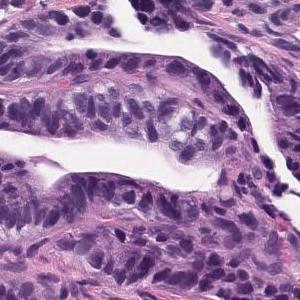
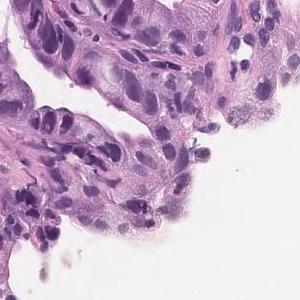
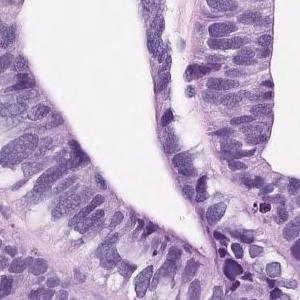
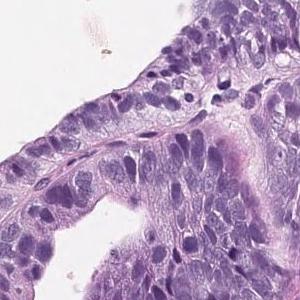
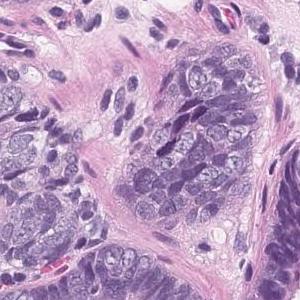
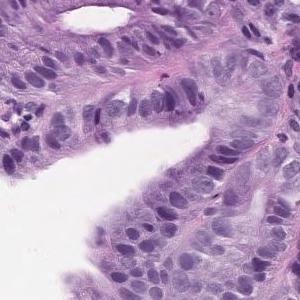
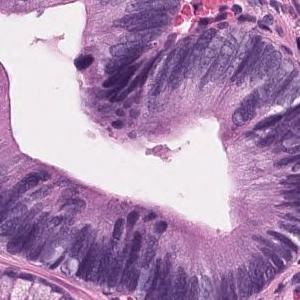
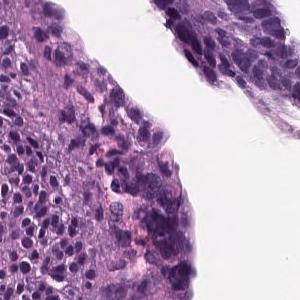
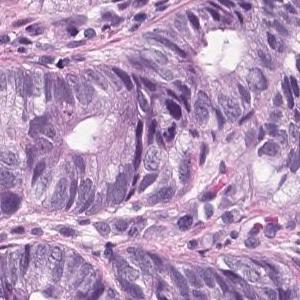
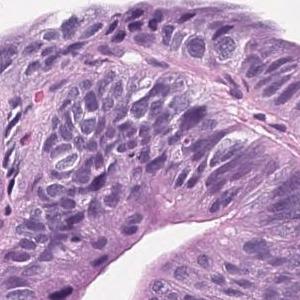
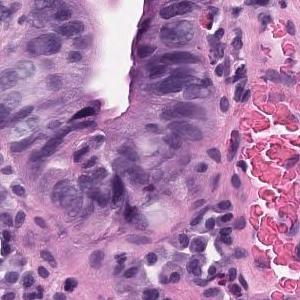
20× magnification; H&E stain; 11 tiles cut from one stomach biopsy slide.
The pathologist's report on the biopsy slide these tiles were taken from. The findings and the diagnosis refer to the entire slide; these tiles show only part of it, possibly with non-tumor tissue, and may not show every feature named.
Tumor tissue consisting of medium-sized and irregular ducts is observed infiltrating in the superficial epithelium. Tumor cells are highly columnar, with nuclei aligned basolaterally and polarized. Well differentiated tubular adenocarcinoma.
